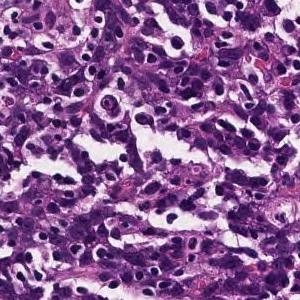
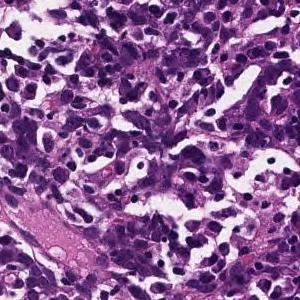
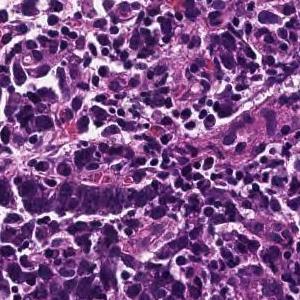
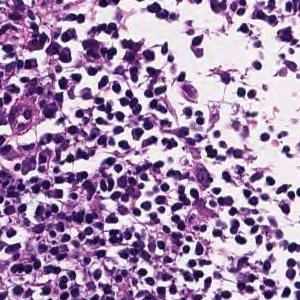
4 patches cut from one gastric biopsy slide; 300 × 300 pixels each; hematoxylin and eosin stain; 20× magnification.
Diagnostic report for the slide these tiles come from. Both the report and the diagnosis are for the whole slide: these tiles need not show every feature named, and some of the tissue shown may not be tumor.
Tumor tissue consisting of cord-like or small, irregular glandular ducts fused and infiltrated is observed in the superficial epithelium. Poorly differentiated adenocarcinoma, non-solid type
The term "non-solid type" comes from the Japanese Classification of Gastric Carcinoma.
